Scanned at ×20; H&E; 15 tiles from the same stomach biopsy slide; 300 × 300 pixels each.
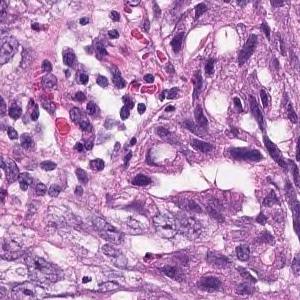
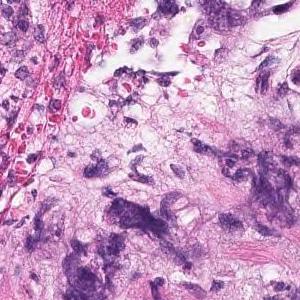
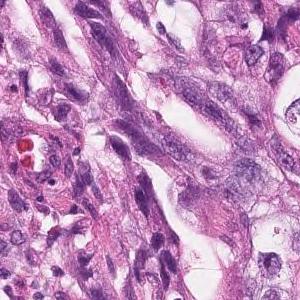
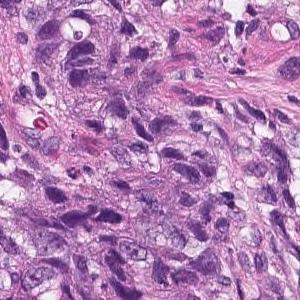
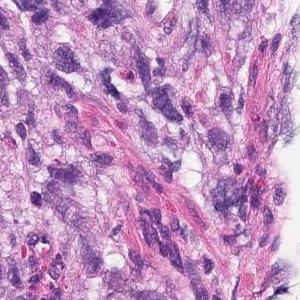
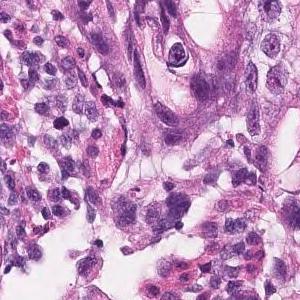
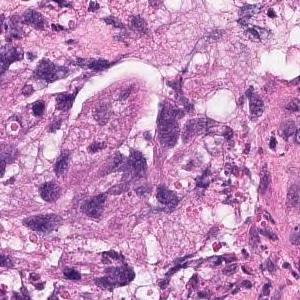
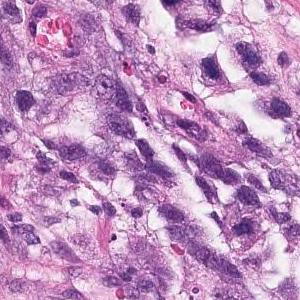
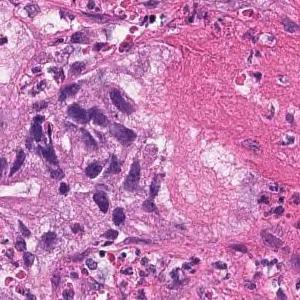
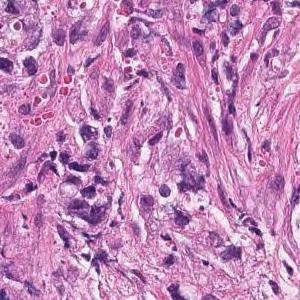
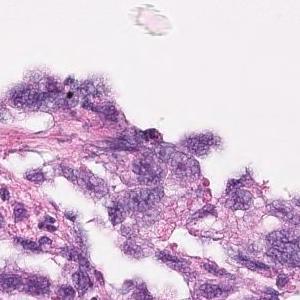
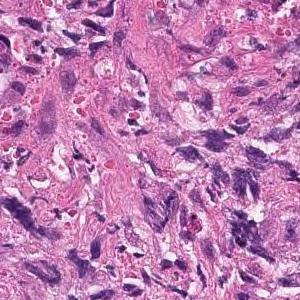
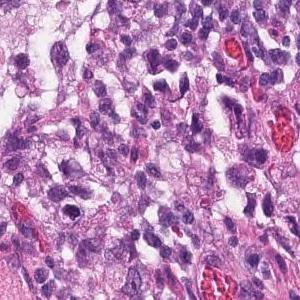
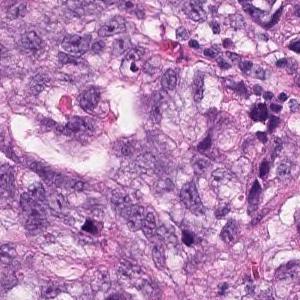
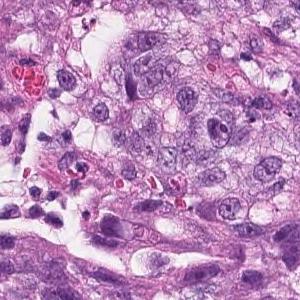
Pathology report for the slide these tiles were cut from. The report and the diagnosis describe the slide as a whole, so these tiles may not show every feature named and may include non-tumor tissue.
The superficial epithelium shows a large sheet-like shape, and some tumor tissue infiltrates with small irregular ducts. Poorly differentiated adenocarcinoma, solid-type
Subtype: Poorly differentiated adenocarcinoma, solid type. This name comes from the Japanese Classification of Gastric Carcinoma; the WHO 2019 classification calls it tubular adenocarcinoma, poorly differentiated.
